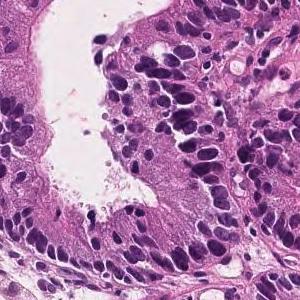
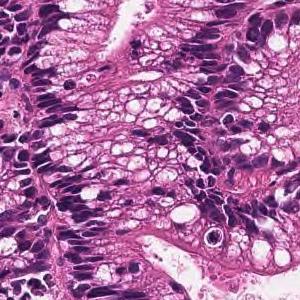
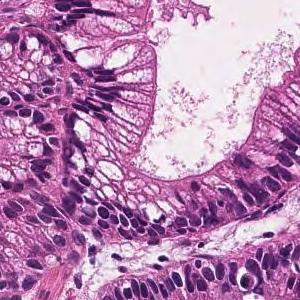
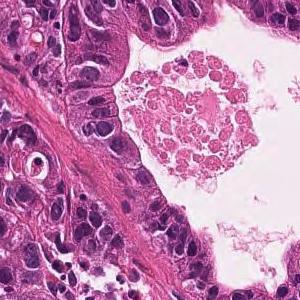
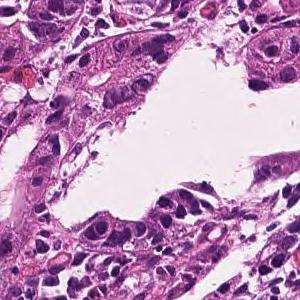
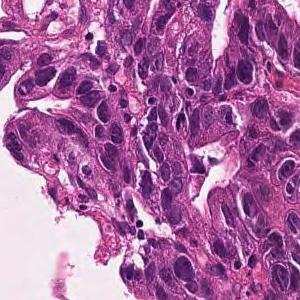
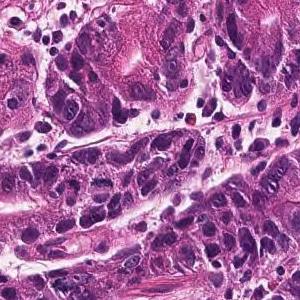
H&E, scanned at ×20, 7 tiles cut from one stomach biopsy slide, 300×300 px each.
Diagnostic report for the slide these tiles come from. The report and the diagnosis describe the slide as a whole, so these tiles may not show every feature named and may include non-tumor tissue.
In the superficial epithelium, tumor tissue that invades by forming medium-sized to small, irregular ducts is observed. moderately differentiated tubular adenocarcinoma.
